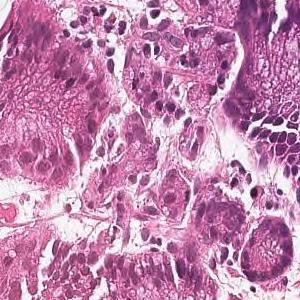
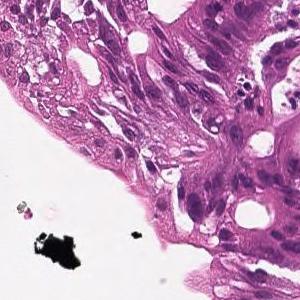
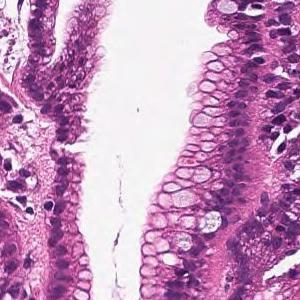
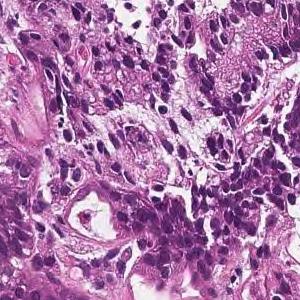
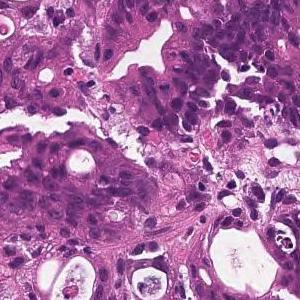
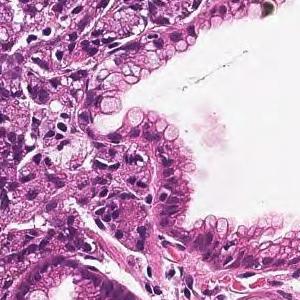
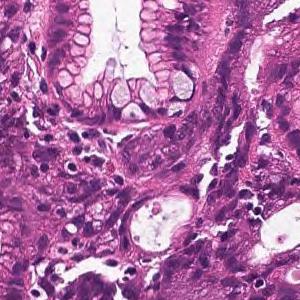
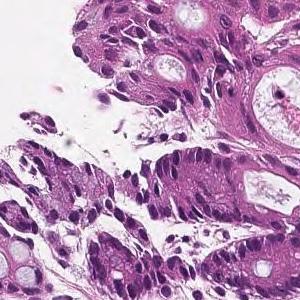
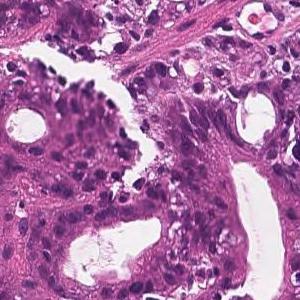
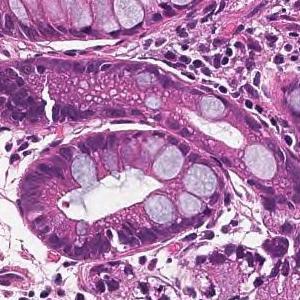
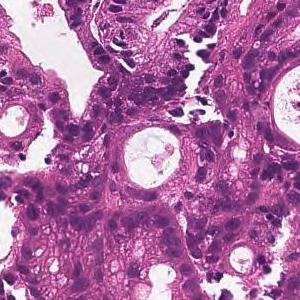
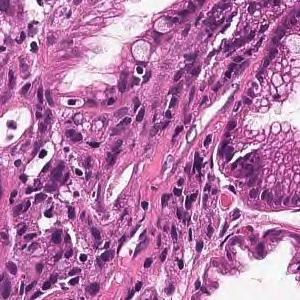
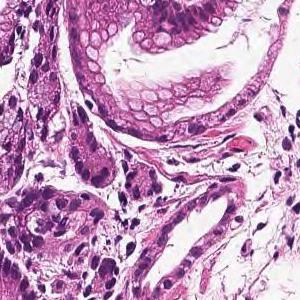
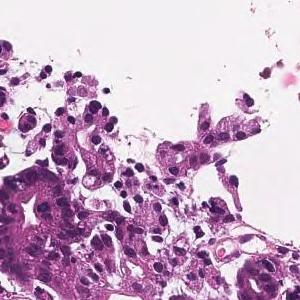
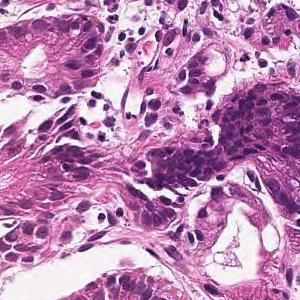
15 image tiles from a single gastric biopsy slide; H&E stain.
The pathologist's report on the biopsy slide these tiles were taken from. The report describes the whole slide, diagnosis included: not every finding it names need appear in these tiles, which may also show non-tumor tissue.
In the superficial epithelium, tumor tissue that invades by forming medium-sized to small, irregular ducts is observed. moderately differentiated tubular adenocarcinoma.
